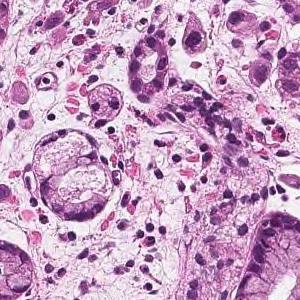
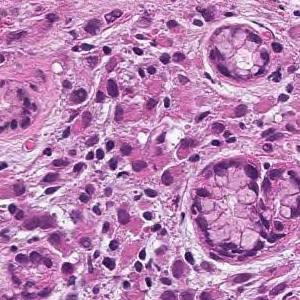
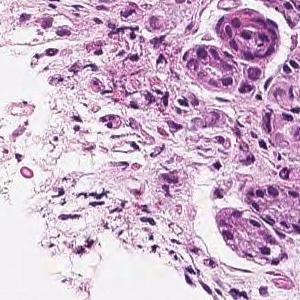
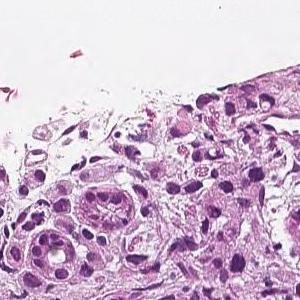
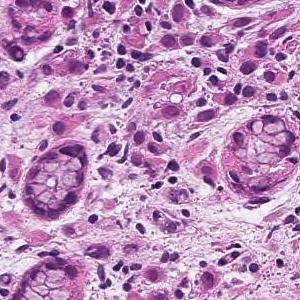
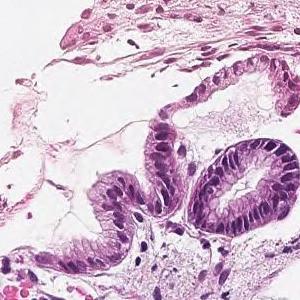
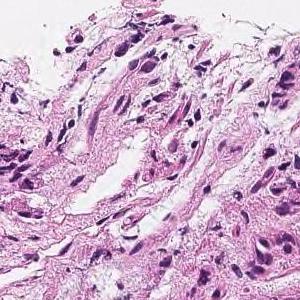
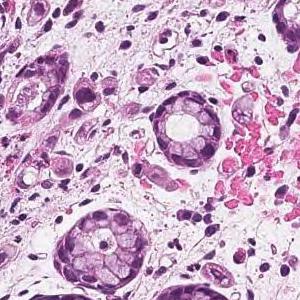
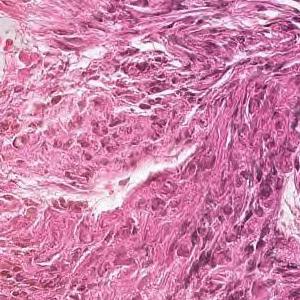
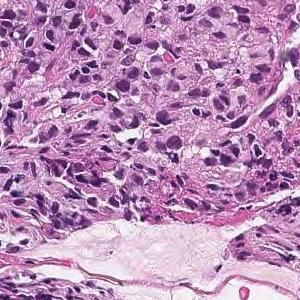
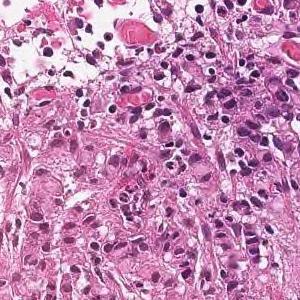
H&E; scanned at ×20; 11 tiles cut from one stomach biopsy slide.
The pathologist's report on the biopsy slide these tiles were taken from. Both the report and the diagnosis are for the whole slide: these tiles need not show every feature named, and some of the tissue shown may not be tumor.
Tumor tissue consisting of cord-like or small, irregular glandular ducts fused and infiltrated is observed in the superficial epithelium. Poorly differentiated adenocarcinoma, non-solid type
"Non-solid type" is a category of the Japanese Classification of Gastric Carcinoma.
